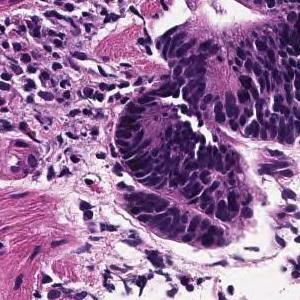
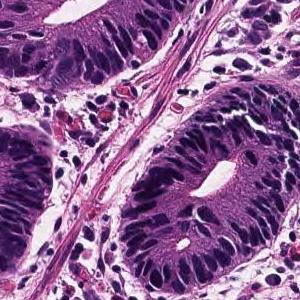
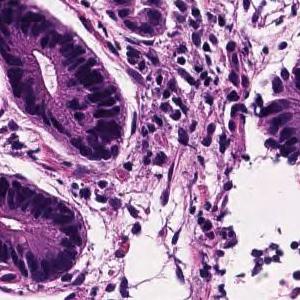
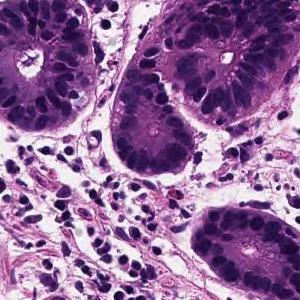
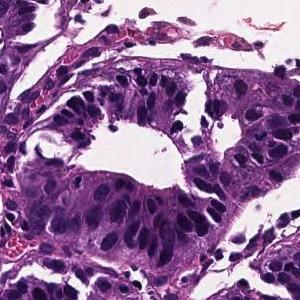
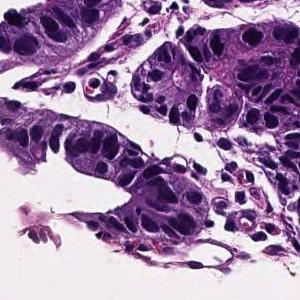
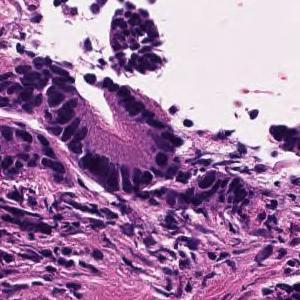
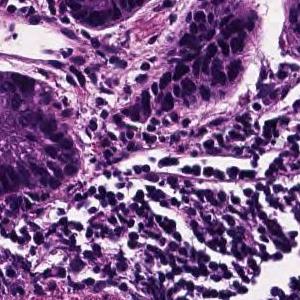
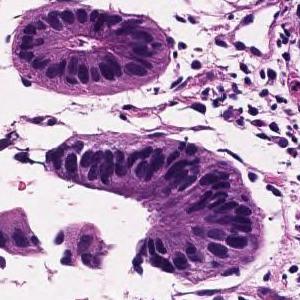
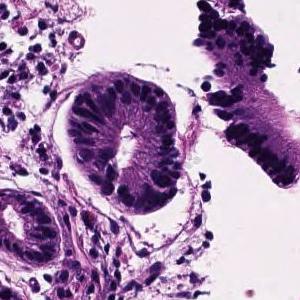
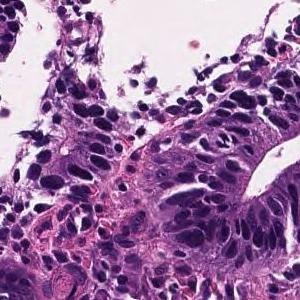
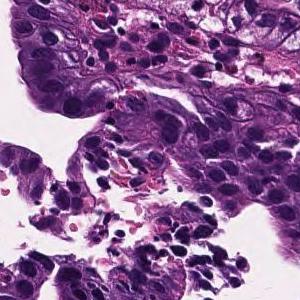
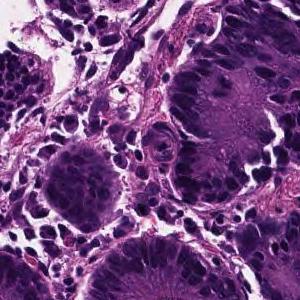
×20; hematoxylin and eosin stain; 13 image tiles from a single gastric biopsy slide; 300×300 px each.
Report on the slide these tiles come from. Both the report and the diagnosis are for the whole slide: these tiles need not show every feature named, and some of the tissue shown may not be tumor.
From the superficial epithelium to the muscularis mucosae, tumor tissue consisting of medium-sized and irregular glandular ducts infiltrating is observed. Well differentiated tubular adenocarcinoma
